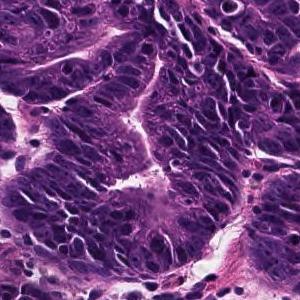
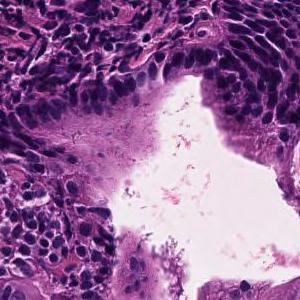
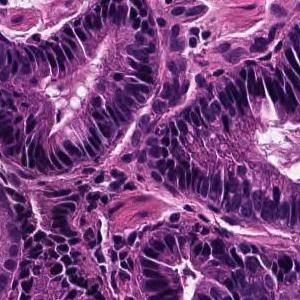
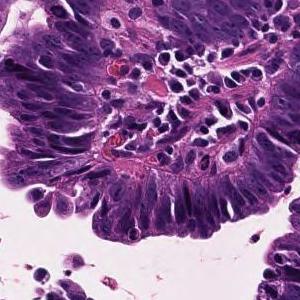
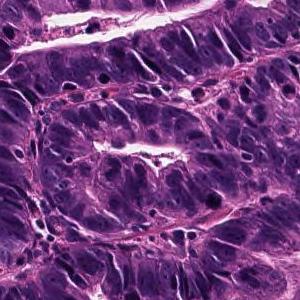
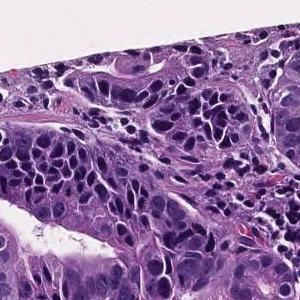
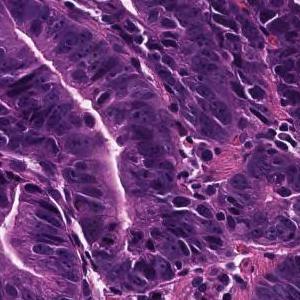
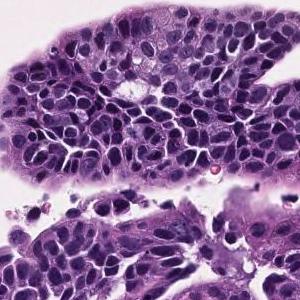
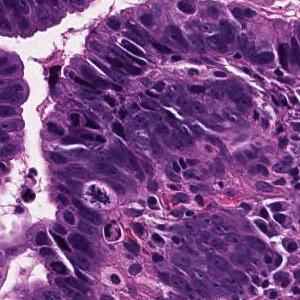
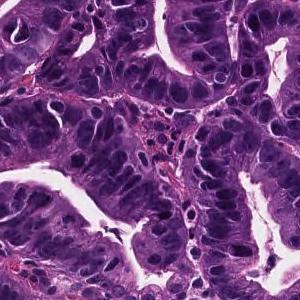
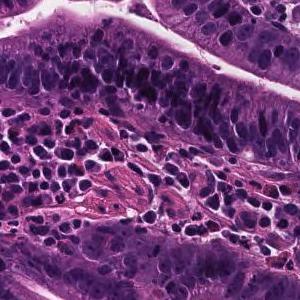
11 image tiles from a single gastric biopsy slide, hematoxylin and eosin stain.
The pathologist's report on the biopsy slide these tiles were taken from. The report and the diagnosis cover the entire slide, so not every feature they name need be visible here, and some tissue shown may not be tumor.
On the superficial epithelium, tumor tissue consisting of growth of medium-sized to large-sized, round or irregular glandular ducts is observed. Well differentiated tubular adenocarcinoma
